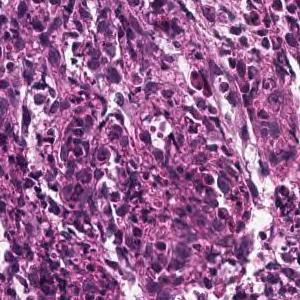
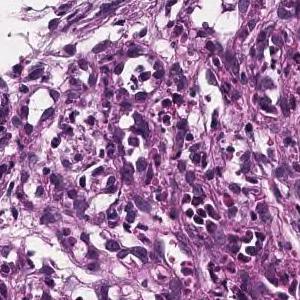
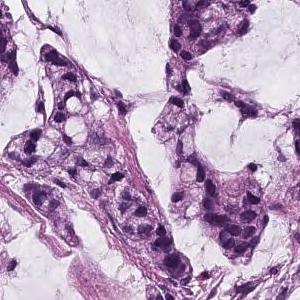
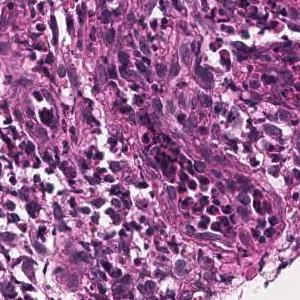
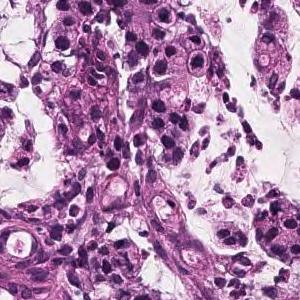
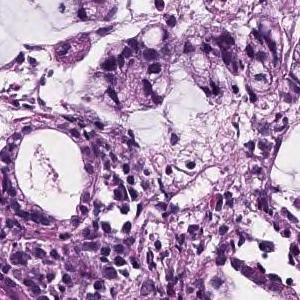
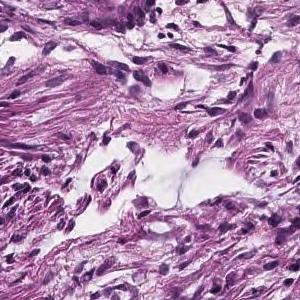
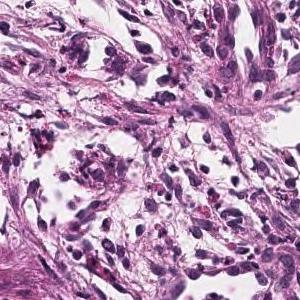
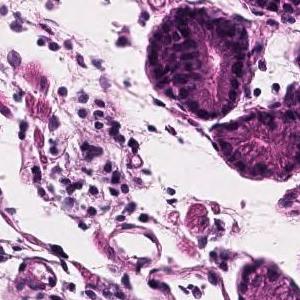
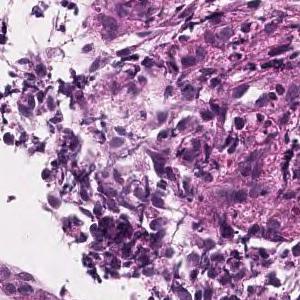
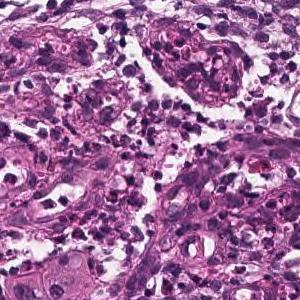
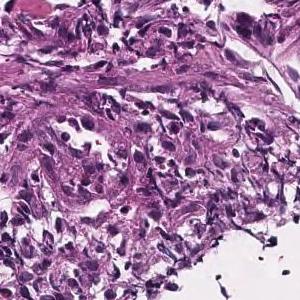
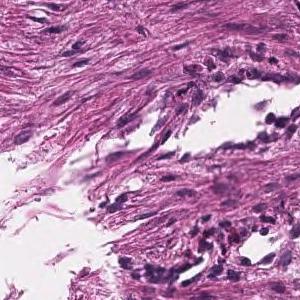
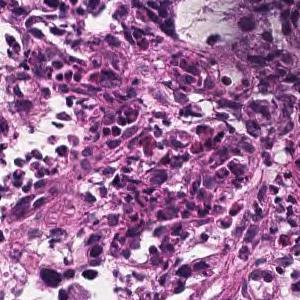
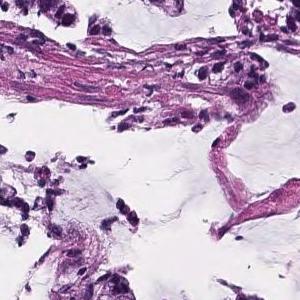
15 tiles from the same stomach biopsy slide · scanned at ×20.
Pathology report for the slide these tiles were cut from. What the report and the diagnosis say applies to the whole slide; these tiles may miss some of the features named and may include tissue that is not tumor.
Atypical epithelial cells form obscure ductal structures or small solid follicles, and tumor tissue that proliferates invasively with proliferation of inflammatory granulation tissue is observed. Mucinous adenocarcinoma .
